9 tiles cut from one stomach biopsy slide; 300 × 300 pixels each; hematoxylin and eosin stain; 20× magnification.
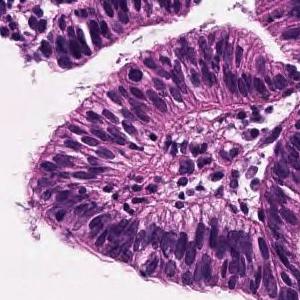
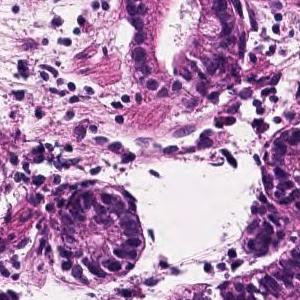
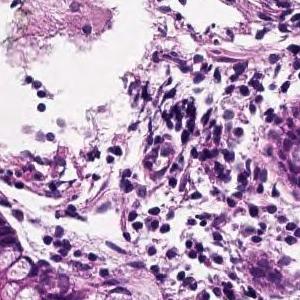
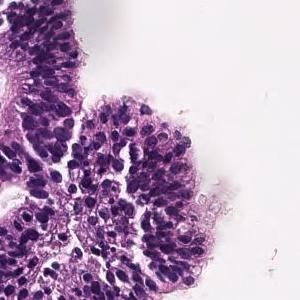
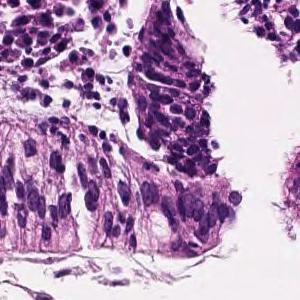
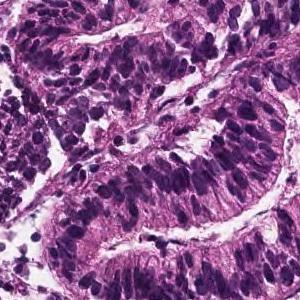
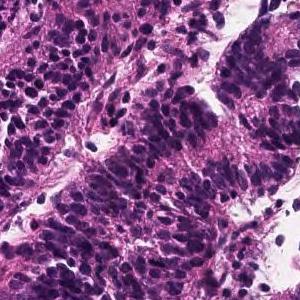
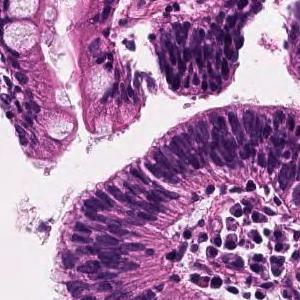
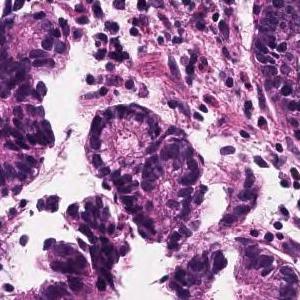
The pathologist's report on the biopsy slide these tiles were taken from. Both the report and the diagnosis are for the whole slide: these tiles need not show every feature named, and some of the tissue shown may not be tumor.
Tumor cells are large, highly columnar, large club-shaped nuclei, and are associated with chromatin aggregation. Papillary adenocarcinoma.
